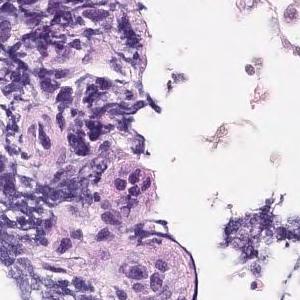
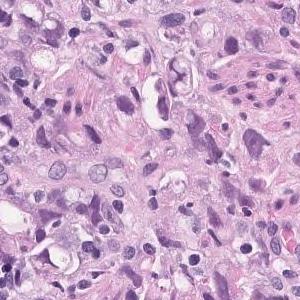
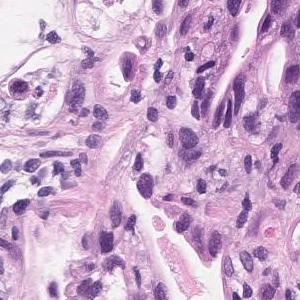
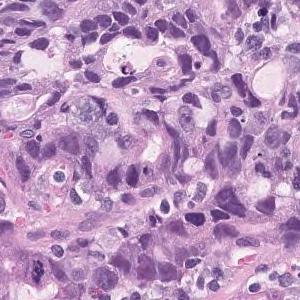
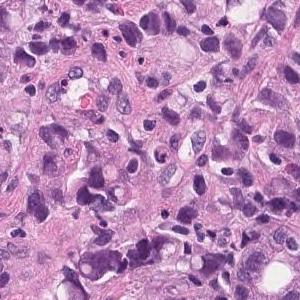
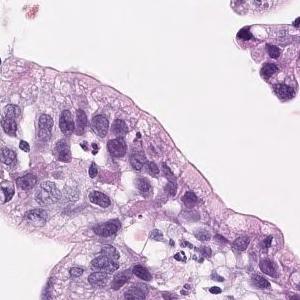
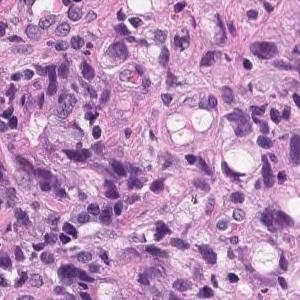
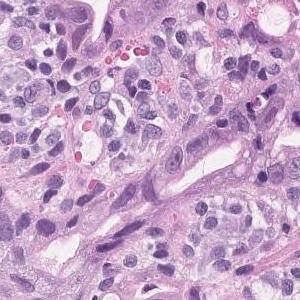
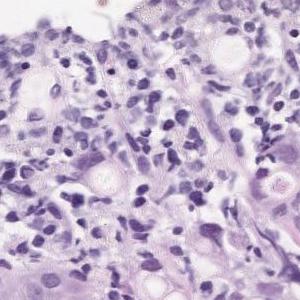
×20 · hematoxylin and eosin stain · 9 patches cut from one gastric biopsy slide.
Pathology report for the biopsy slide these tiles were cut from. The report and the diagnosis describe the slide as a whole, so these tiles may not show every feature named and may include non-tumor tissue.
Tumor tissue consisting of medium-sized, cord-like or irregular glandular infiltration is observed in the superficial epithelium. Poorly differentiated adenocarcinoma, non-solid type or moderately differentiated tubular adenocarcinoma
Labeled in the dataset as poorly differentiated adenocarcinoma, non-solid type.
The non-solid type named here is a Japanese Classification of Gastric Carcinoma category.
